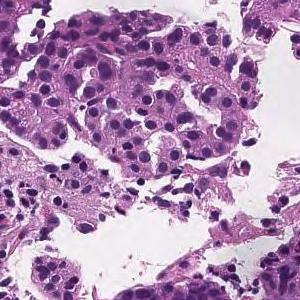
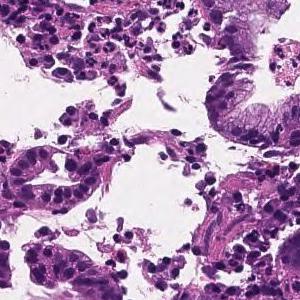
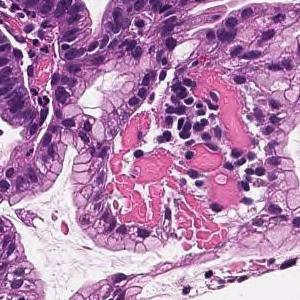
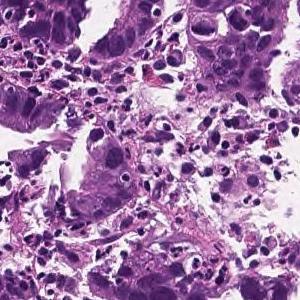
×20, H&E, 4 patches cut from one gastric biopsy slide.
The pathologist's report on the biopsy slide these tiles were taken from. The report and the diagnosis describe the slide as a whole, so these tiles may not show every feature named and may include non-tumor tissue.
On the superficial epithelium, tumor tissue consisting of medium-sized irregular or small round gland ducts showing a small cord-like shape and infiltrating is observed. Well differentiated tubular adenocarcinoma or Poorly differentiated adenocarcinoma, non-solid type
Dataset label: well differentiated tubular adenocarcinoma.
The non-solid type named here is a Japanese Classification of Gastric Carcinoma category.
